7 tiles cut from one stomach biopsy slide · H&E stain · scanned at ×20.
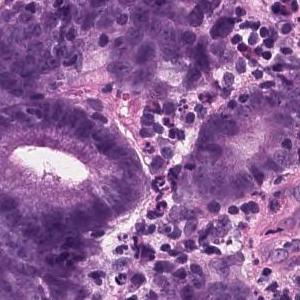
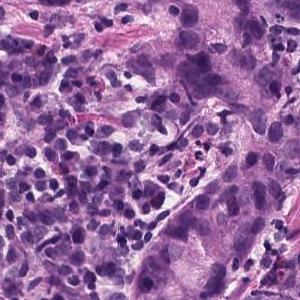
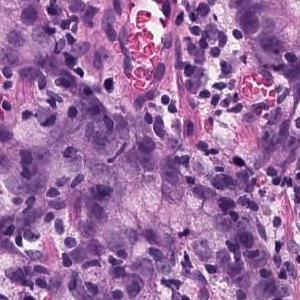
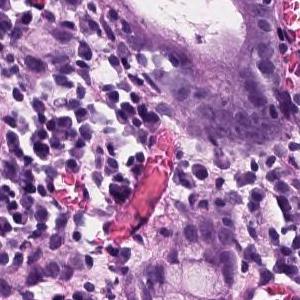
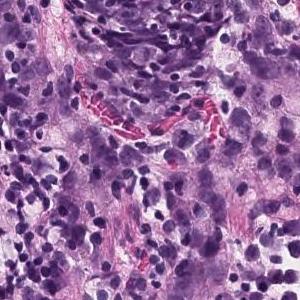
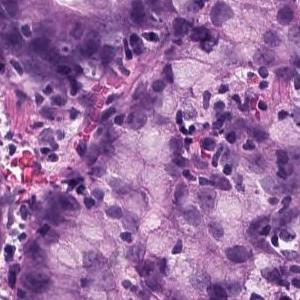
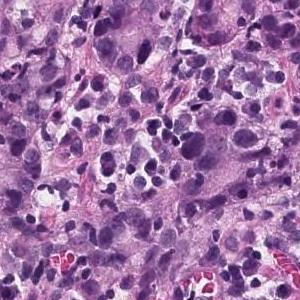
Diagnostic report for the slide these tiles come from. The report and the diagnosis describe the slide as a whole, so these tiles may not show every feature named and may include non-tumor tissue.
In the superficial epithelium, tumor tissue that invades by forming medium-sized to small, irregular ducts is observed. Moderately differentiated adenocarcinoma.
Histologic type: Moderately differentiated tubular adenocarcinoma.
